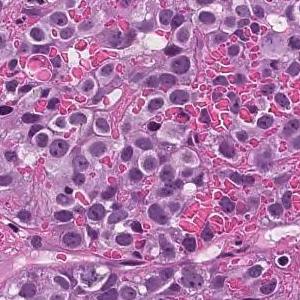
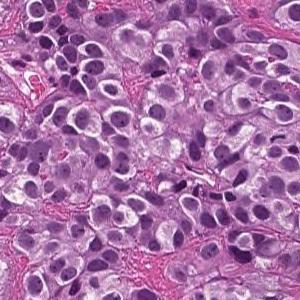
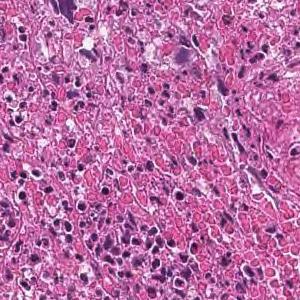
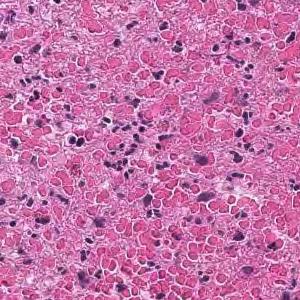
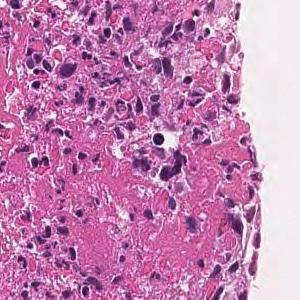
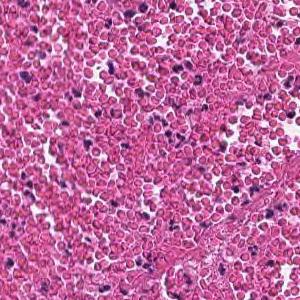
H&E, ×20, 6 image tiles from a single gastric biopsy slide, each 300 × 300 pixels.
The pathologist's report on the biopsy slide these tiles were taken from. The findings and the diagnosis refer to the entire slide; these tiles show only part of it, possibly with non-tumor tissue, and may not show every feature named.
The superficial epithelium shows a large sheet-like shape, and some tumor tissue infiltrates with small irregular ducts. Poorly differentiated adenocarcinoma, solid-type
Histologic type: Poorly differentiated adenocarcinoma, solid type, a category of the Japanese Classification of Gastric Carcinoma; in the WHO 2019 classification it is tubular adenocarcinoma, poorly differentiated.
